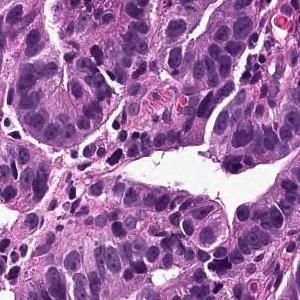
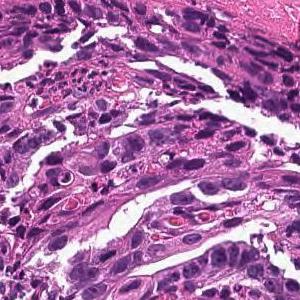
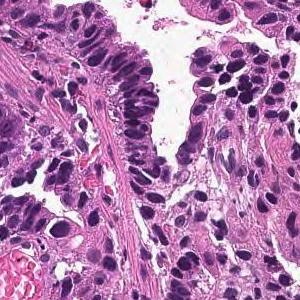
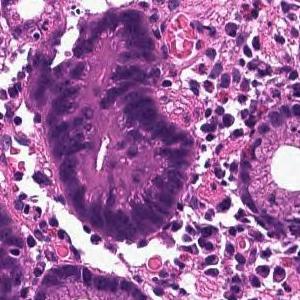
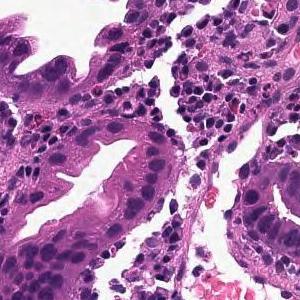
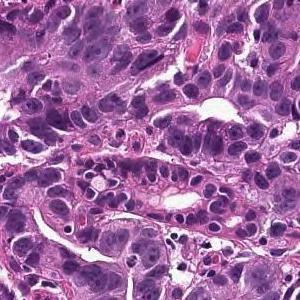
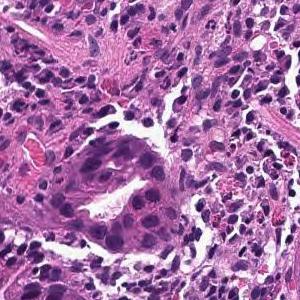
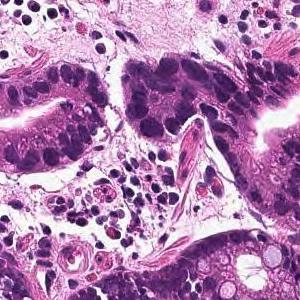
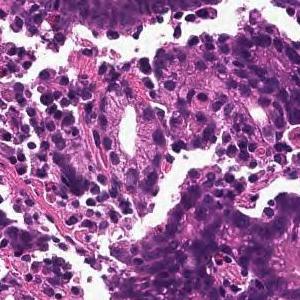
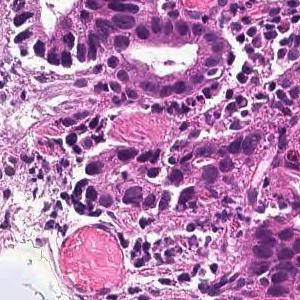
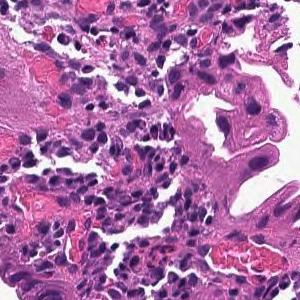
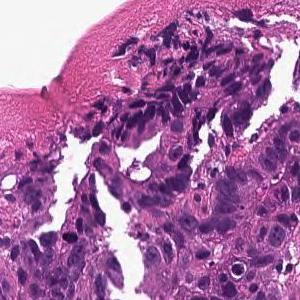
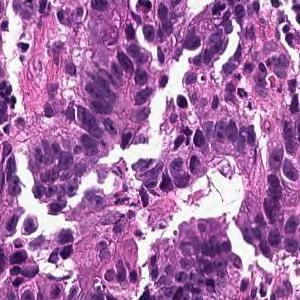
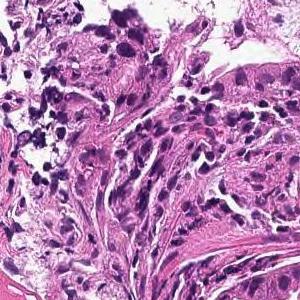
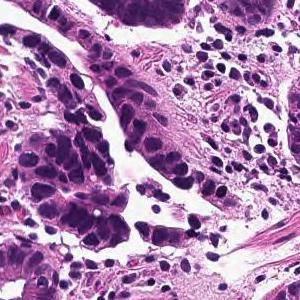
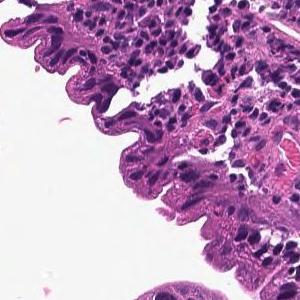
Scanned at ×20 · 16 patches cut from one gastric biopsy slide · 300×300 px each.
Diagnostic report for the slide these tiles come from. The report describes the whole slide, diagnosis included: not every finding it names need appear in these tiles, which may also show non-tumor tissue.
On the superficial epithelium, tumor tissue consisting of large, irregular glandular ducts partially fused and infiltrated is observed. Well to moderately differentiated tubular adenocarcinoma (well differentiated tubular adenocarcinoma, moderately differentiated tubular adenocarcinoma)
Subtype: Well to moderately differentiated tubular adenocarcinoma.
